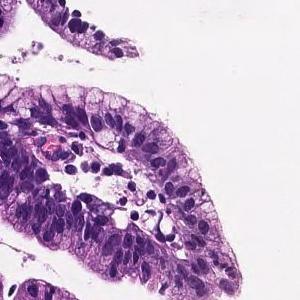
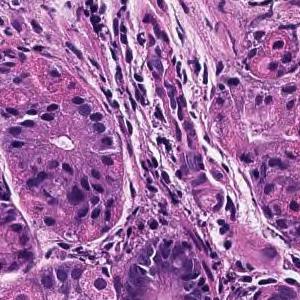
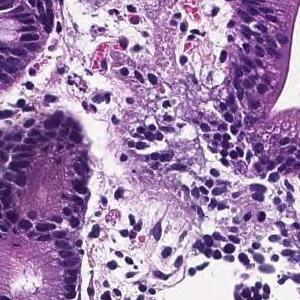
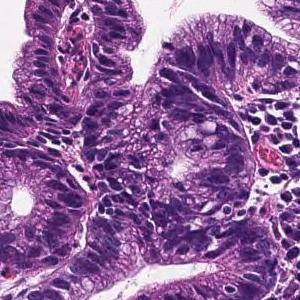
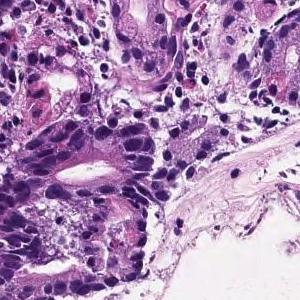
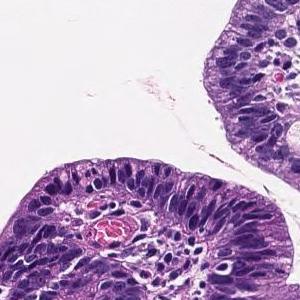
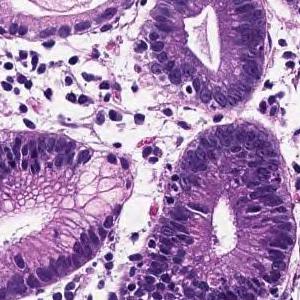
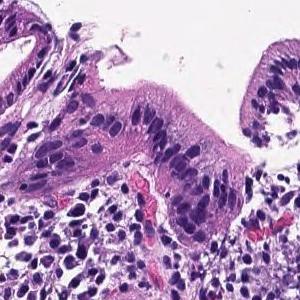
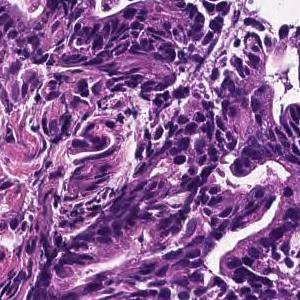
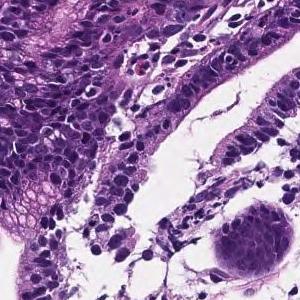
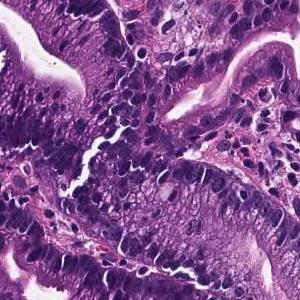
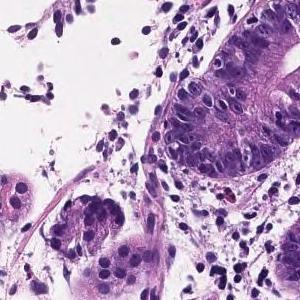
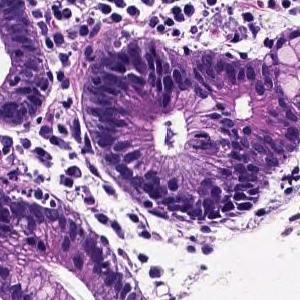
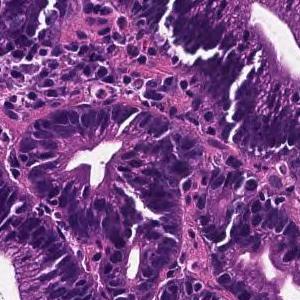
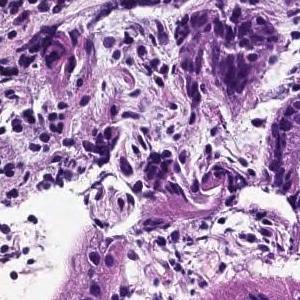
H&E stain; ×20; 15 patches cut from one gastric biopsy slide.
Diagnostic report for the slide these tiles come from. The findings and the diagnosis refer to the entire slide; these tiles show only part of it, possibly with non-tumor tissue, and may not show every feature named.
From the superficial epithelium to the muscularis mucosae, tumor tissue consisting of medium-sized and irregular glandular ducts infiltrating is observed. Well differentiated tubular adenocarcinoma
